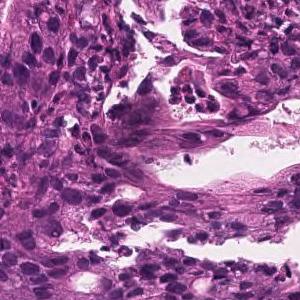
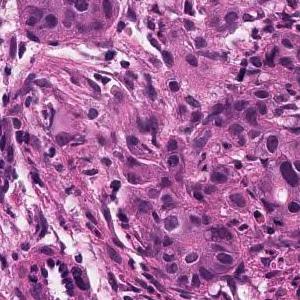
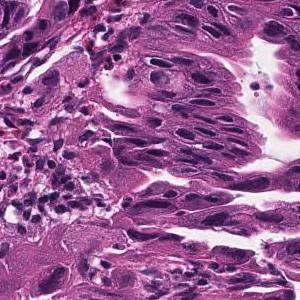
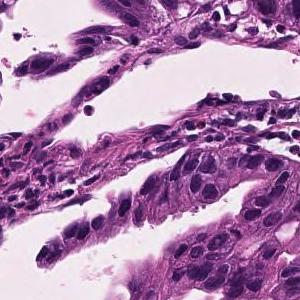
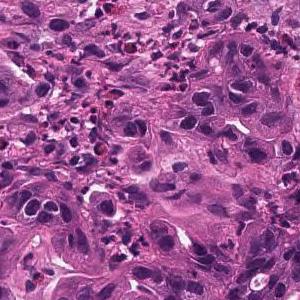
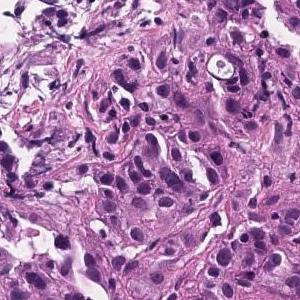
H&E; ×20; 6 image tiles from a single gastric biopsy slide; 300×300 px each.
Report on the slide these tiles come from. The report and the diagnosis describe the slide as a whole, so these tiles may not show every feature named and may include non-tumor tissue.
Tumor tissue consisting of medium-sized, cord-like or irregular glandular infiltration is observed in the superficial epithelium. Poorly differentiated adenocarcinoma, non-solid type or moderately differentiated tubular adenocarcinoma
"Non-solid type" is a category of the Japanese Classification of Gastric Carcinoma.
